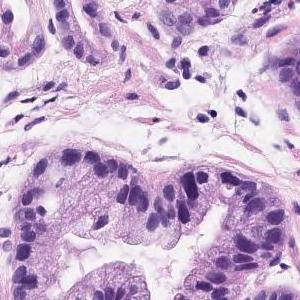
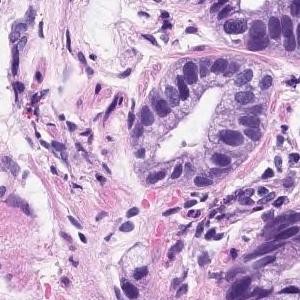
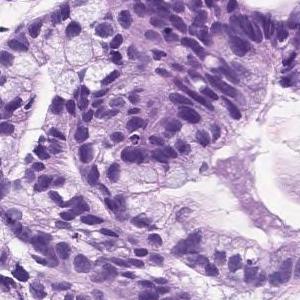
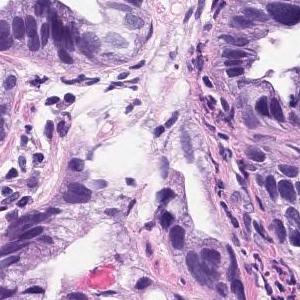
4 tiles cut from one stomach biopsy slide, each 300 × 300 pixels, H&E stain, 20× magnification.
Report on the slide these tiles come from. The report and the diagnosis describe the slide as a whole, so these tiles may not show every feature named and may include non-tumor tissue.
The superficial tumors shows large papillary structures or large and small ducts and infiltrates. Papillary adenocarcinoma.
